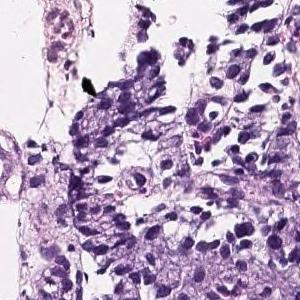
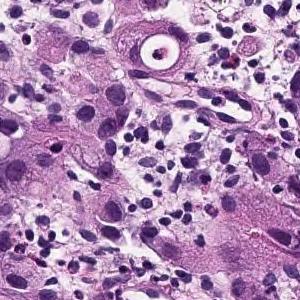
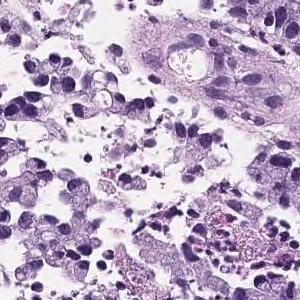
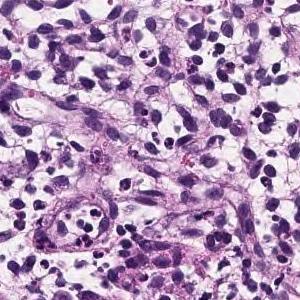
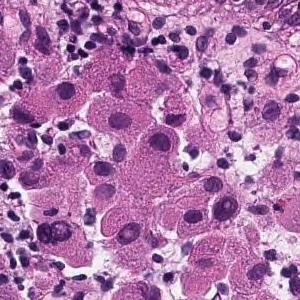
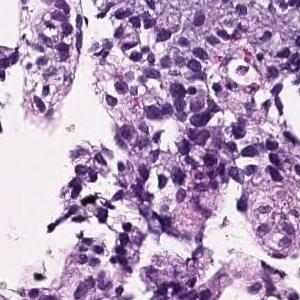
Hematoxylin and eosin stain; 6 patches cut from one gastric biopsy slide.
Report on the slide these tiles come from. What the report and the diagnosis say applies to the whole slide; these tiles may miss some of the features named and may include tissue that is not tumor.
Tumor tissue infiltrated by irregular fusion of small cord-like structures is found in the superficial epithelium. Poorly differentiated adenocarcinoma, non-solid type
"Non-solid type" is a category of the Japanese Classification of Gastric Carcinoma.
